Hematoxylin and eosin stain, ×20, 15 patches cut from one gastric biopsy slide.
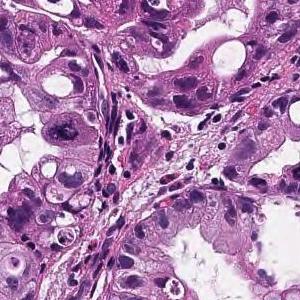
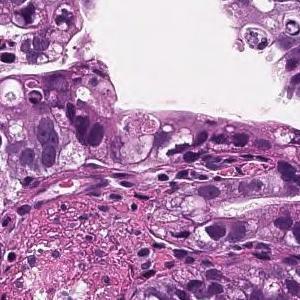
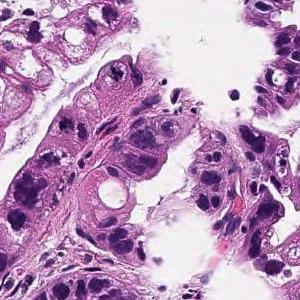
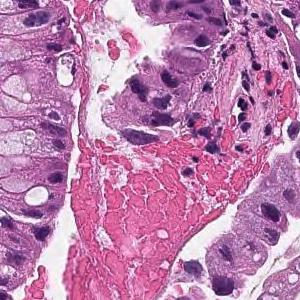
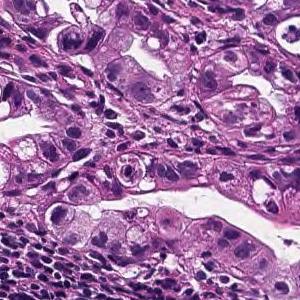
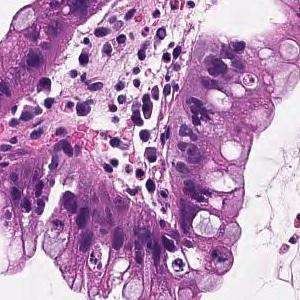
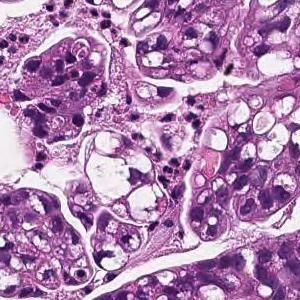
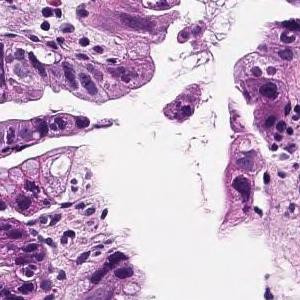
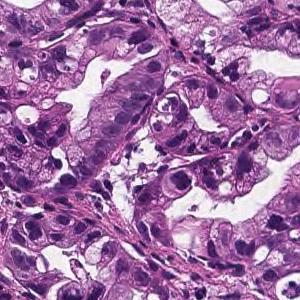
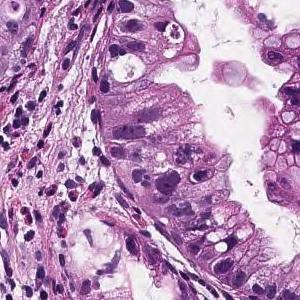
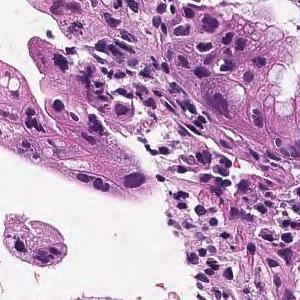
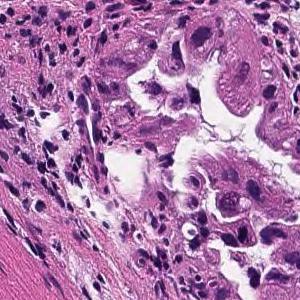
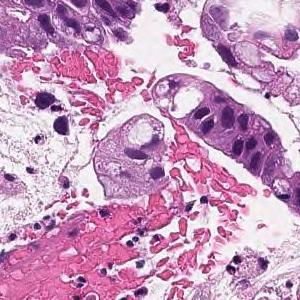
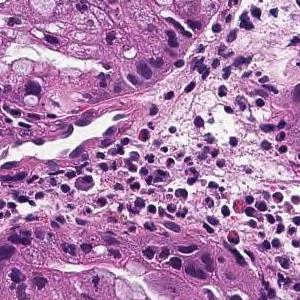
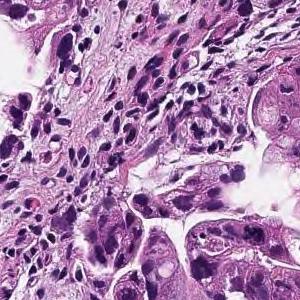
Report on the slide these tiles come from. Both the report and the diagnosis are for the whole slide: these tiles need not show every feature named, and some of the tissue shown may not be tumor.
From the superficial epithelium to the muscularis mucosae, tumor tissue consisting of medium-sized and irregular glandular ducts infiltrating is observed. Well differentiated tubular adenocarcinoma
